20× magnification; H&E; 7 image tiles from a single gastric biopsy slide.
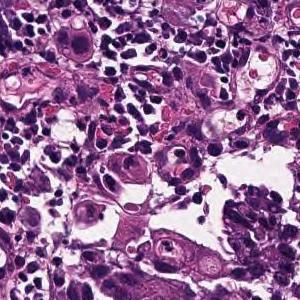
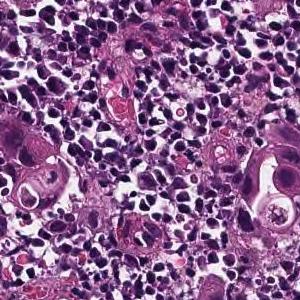
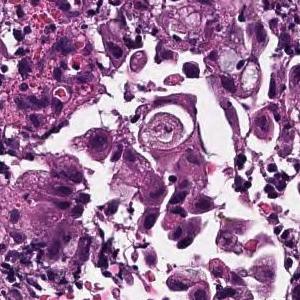
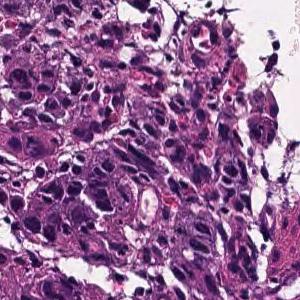
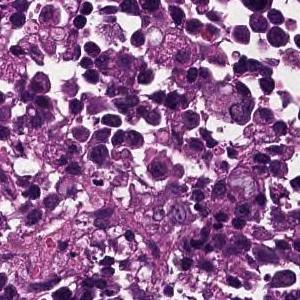
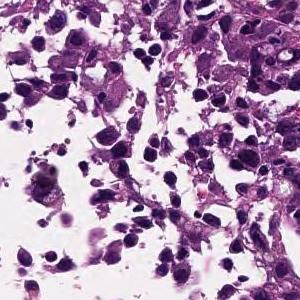
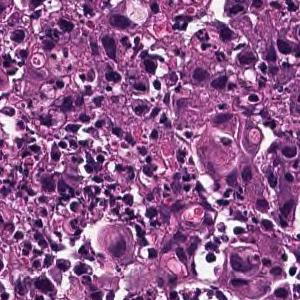
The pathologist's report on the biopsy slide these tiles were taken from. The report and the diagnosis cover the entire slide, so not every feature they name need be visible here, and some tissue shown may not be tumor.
The superficial epithelium shows a large sheet-like shape, and some tumor tissue infiltrates with small irregular ducts. Poorly differentiated adenocarcinoma, solid-type
Subtype: Poorly differentiated adenocarcinoma, solid type. This name comes from the Japanese Classification of Gastric Carcinoma; the WHO 2019 classification calls it tubular adenocarcinoma, poorly differentiated.
